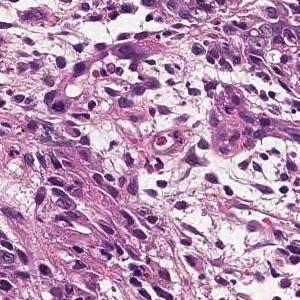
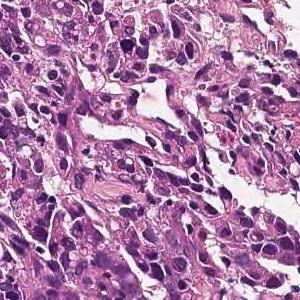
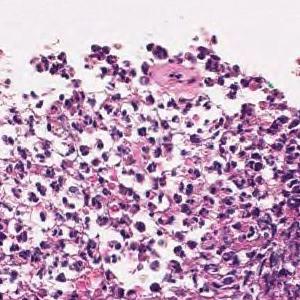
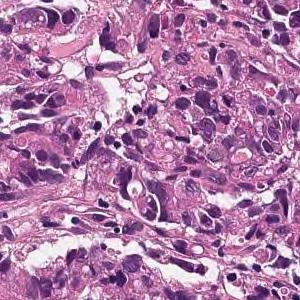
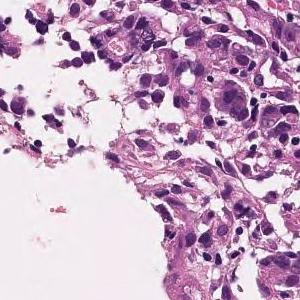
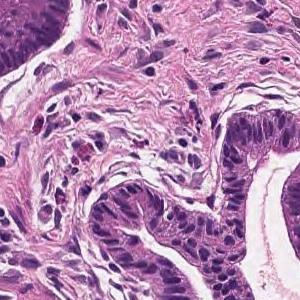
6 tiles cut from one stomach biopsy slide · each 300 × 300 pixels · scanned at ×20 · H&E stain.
Pathology report for the biopsy slide these tiles were cut from. The report and the diagnosis cover the entire slide, so not every feature they name need be visible here, and some tissue shown may not be tumor.
Tumor tissue consisting of cord-like or small, irregular glandular ducts fused and infiltrated is observed in the superficial epithelium. Poorly differentiated adenocarcinoma, non-solid type
The non-solid type named here is a Japanese Classification of Gastric Carcinoma category.
